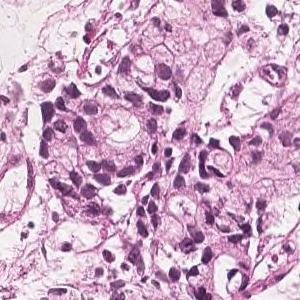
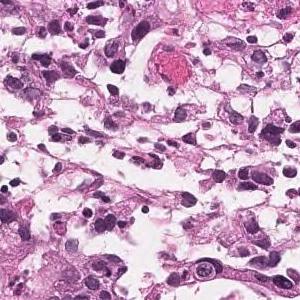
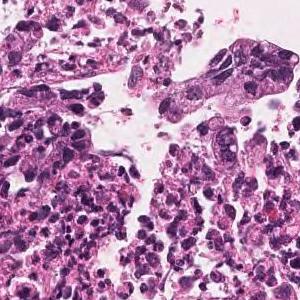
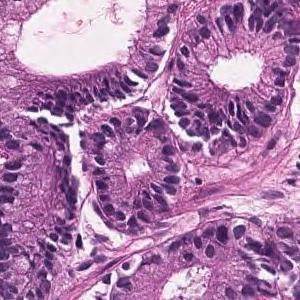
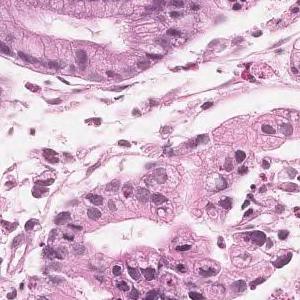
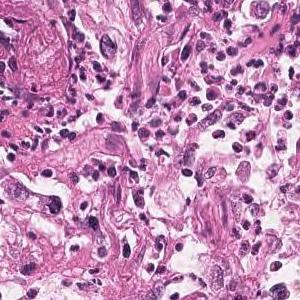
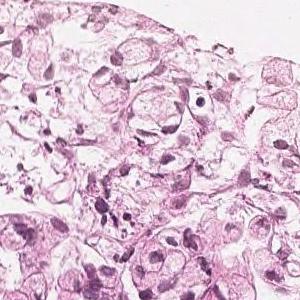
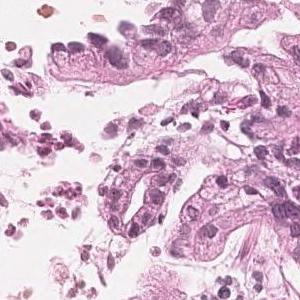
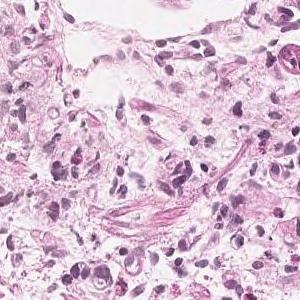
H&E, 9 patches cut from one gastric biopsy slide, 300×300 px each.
Report on the slide these tiles come from. Both the report and the diagnosis are for the whole slide: these tiles need not show every feature named, and some of the tissue shown may not be tumor.
In the superficial epithelium, medium to small irregular gland ducts are formed, and in some cases, the ducts are fused to show solid alveolar lesions and infiltrating tumor tissue is observed. Moderately to poorly differentiated adenocarcinoma
